Scanned at ×20 · hematoxylin and eosin stain · 6 image tiles from a single gastric biopsy slide · each 300 × 300 pixels.
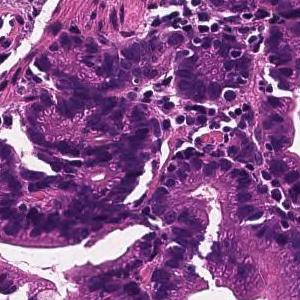
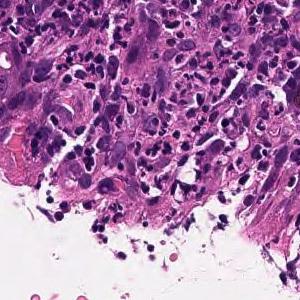
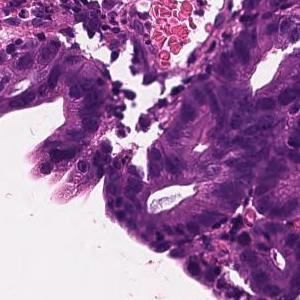
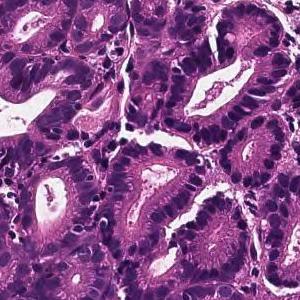
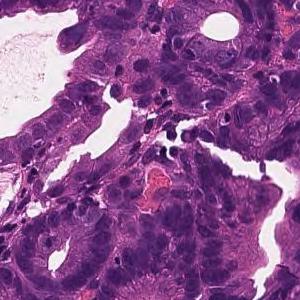
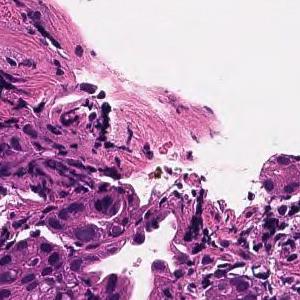
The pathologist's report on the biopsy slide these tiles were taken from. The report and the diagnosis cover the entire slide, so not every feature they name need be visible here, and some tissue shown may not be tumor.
From the superficial epithelium to the muscularis mucosae, tumor tissue that invades by forming medium-sized irregular gland ducts is observed. Well differentiated tubular adenocarcinoma
